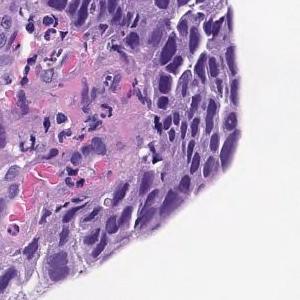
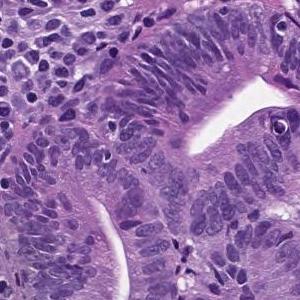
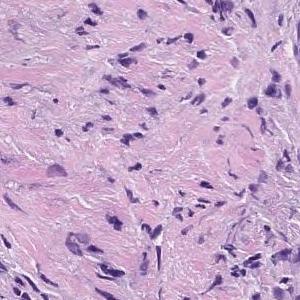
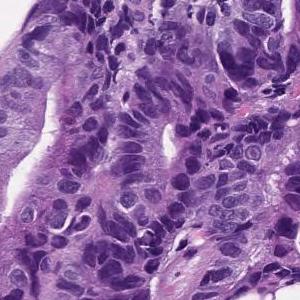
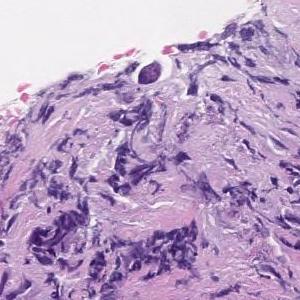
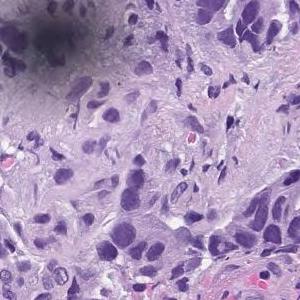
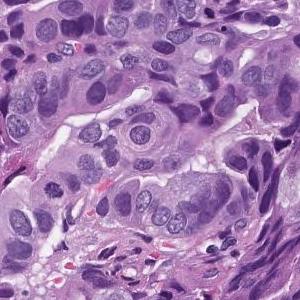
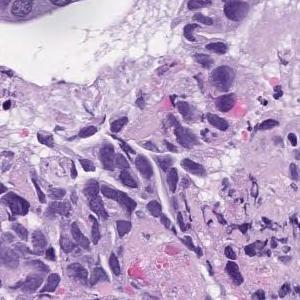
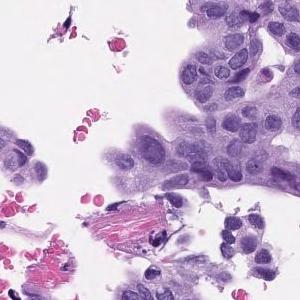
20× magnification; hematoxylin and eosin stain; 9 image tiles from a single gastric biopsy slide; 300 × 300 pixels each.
Pathology report for the slide these tiles were cut from. Both the report and the diagnosis are for the whole slide: these tiles need not show every feature named, and some of the tissue shown may not be tumor.
In the superficial epithelium, tumor tissue that invades by forming medium-sized to small, irregular ducts is observed. moderately differentiated tubular adenocarcinoma.
